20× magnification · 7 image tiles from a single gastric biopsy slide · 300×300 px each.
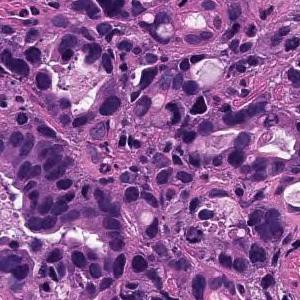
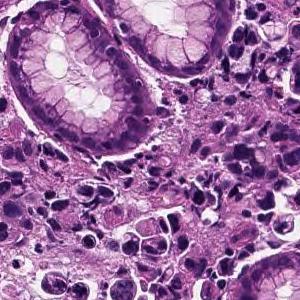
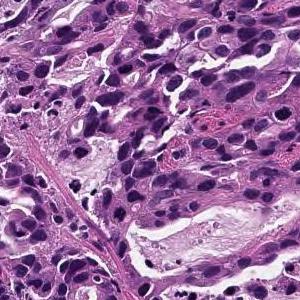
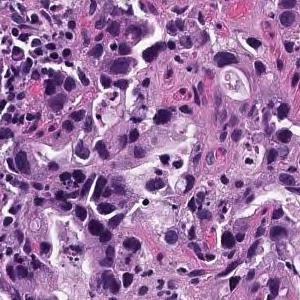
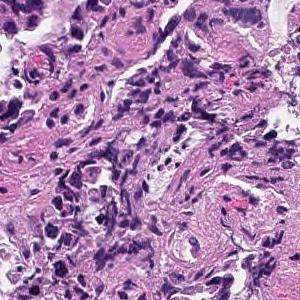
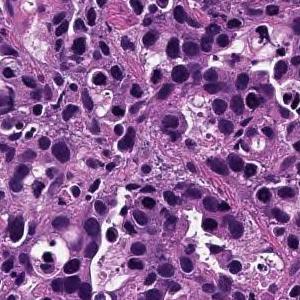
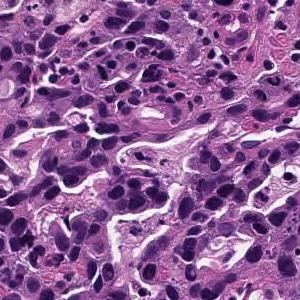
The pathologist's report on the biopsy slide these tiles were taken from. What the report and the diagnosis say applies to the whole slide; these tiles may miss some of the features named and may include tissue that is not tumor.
In the superficial epithelium, tumor tissue that invades by forming medium-sized to small, irregular ducts is observed. moderately differentiated tubular adenocarcinoma.
